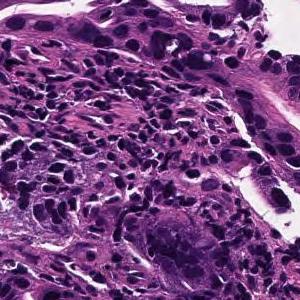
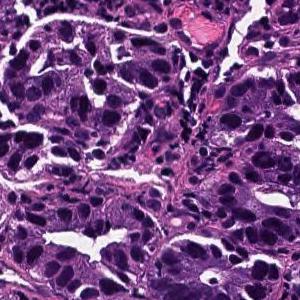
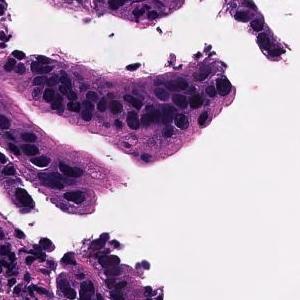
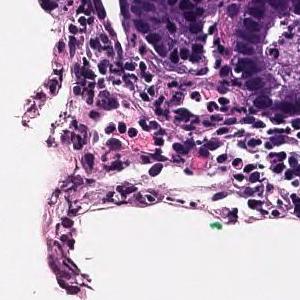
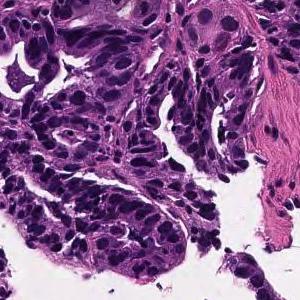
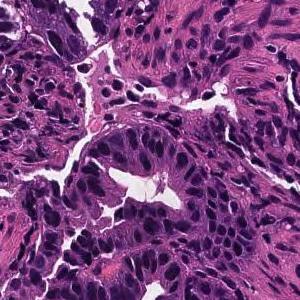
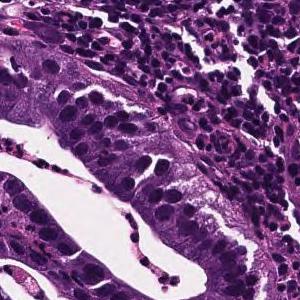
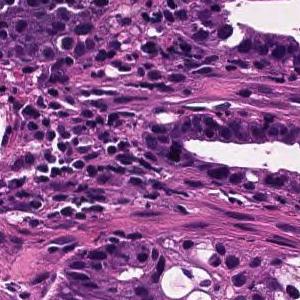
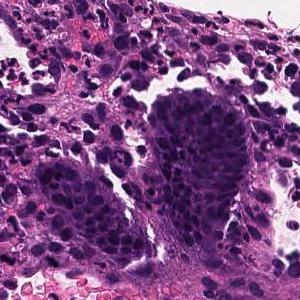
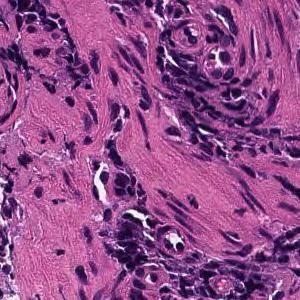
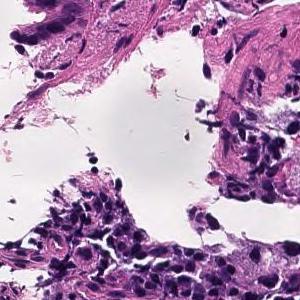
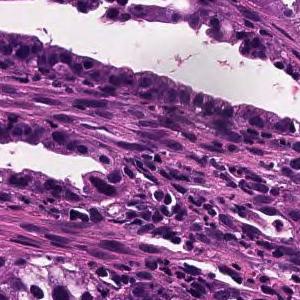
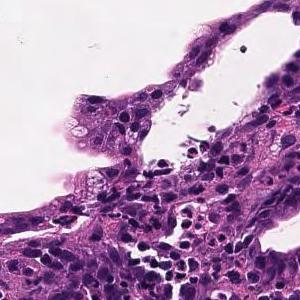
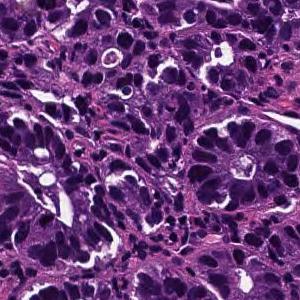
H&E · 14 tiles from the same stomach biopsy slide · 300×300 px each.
Diagnostic report for the slide these tiles come from. Both the report and the diagnosis are for the whole slide: these tiles need not show every feature named, and some of the tissue shown may not be tumor.
From the superficial epithelium to the muscularis mucosae, tumor tissue consisting of medium-sized and irregular glandular ducts infiltrating is observed. Well differentiated tubular adenocarcinoma
